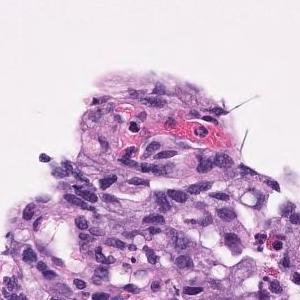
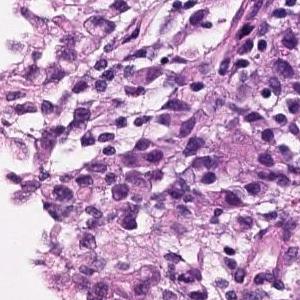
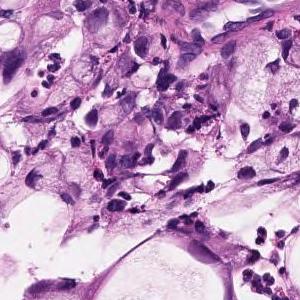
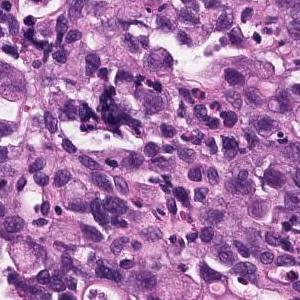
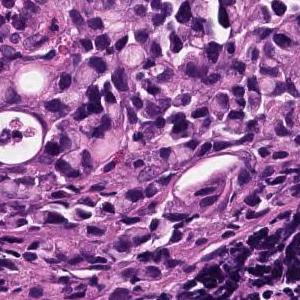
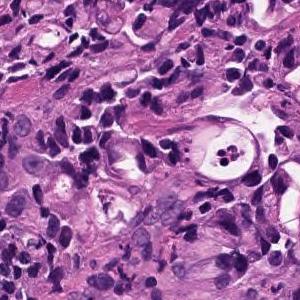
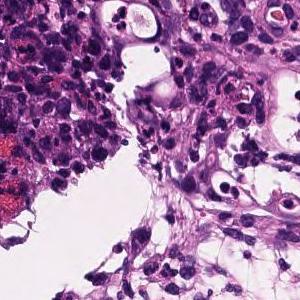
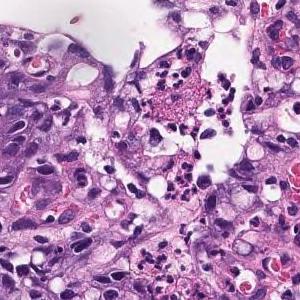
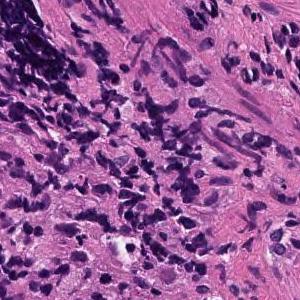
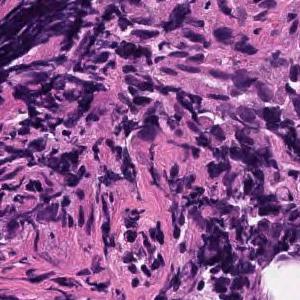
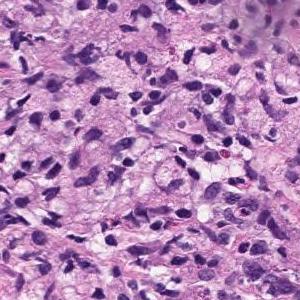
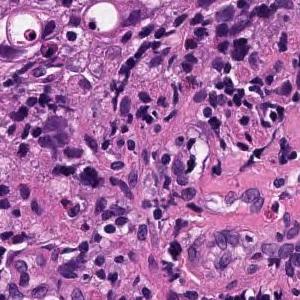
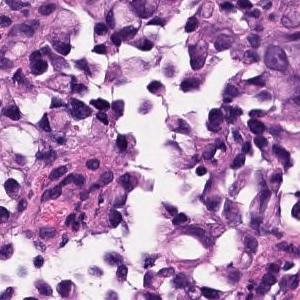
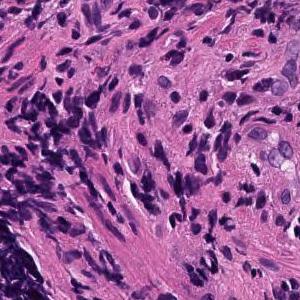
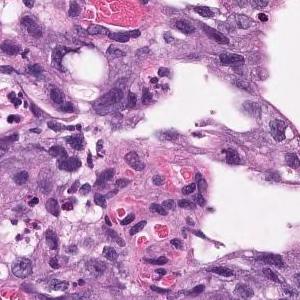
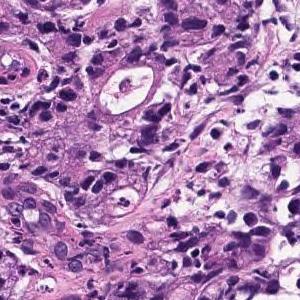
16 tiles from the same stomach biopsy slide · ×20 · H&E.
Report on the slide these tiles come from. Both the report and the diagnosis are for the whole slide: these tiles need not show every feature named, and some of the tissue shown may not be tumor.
Atypical epithelium forms irregularly fused gland ducts and proliferates. Poorly differentiated adenocarcinoma.
Classified as poorly differentiated adenocarcinoma, non-solid type.
The non-solid type named here is a Japanese Classification of Gastric Carcinoma category.
